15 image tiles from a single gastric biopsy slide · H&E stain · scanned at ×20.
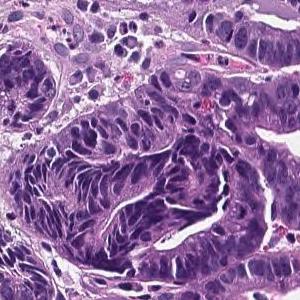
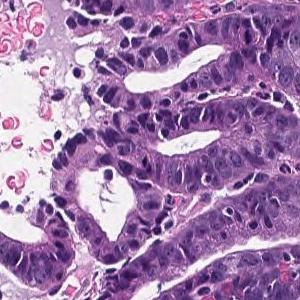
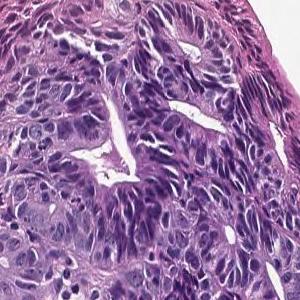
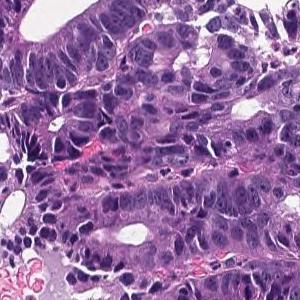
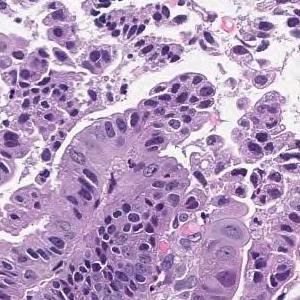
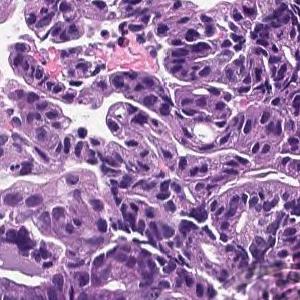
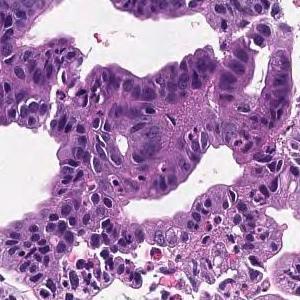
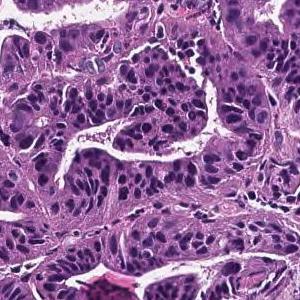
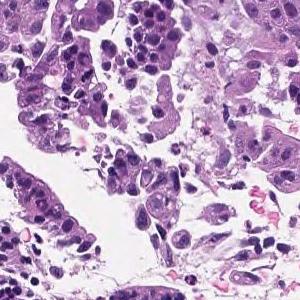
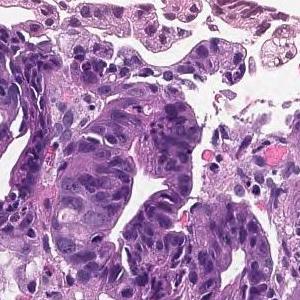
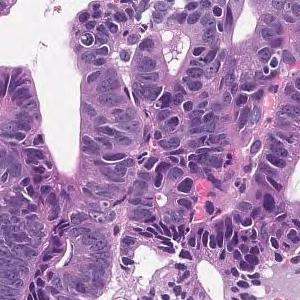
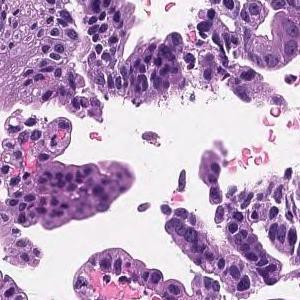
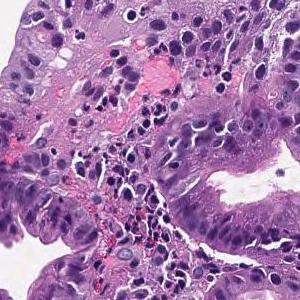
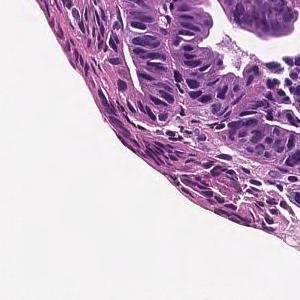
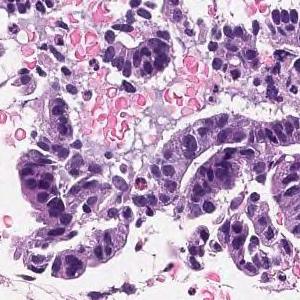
Diagnostic report for the slide these tiles come from. The report and the diagnosis describe the slide as a whole, so these tiles may not show every feature named and may include non-tumor tissue.
Tumor cells are large, highly columnar, large club-shaped nuclei, and are associated with chromatin aggregation. Papillary adenocarcinoma.
